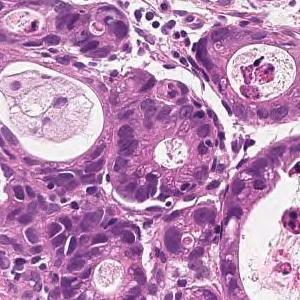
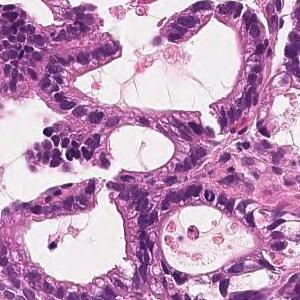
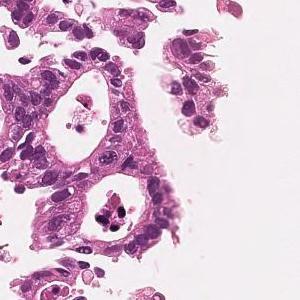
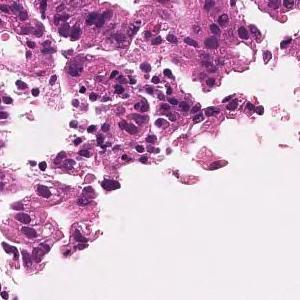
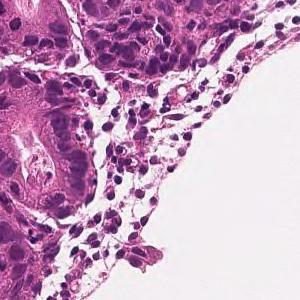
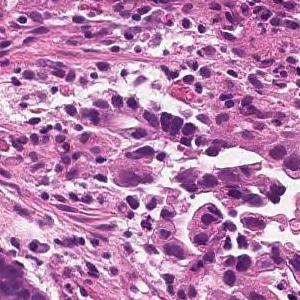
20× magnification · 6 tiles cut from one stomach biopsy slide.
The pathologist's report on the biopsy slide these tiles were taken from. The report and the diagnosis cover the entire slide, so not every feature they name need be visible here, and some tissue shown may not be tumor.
On the superficial epithelium, tumor tissue is found in which medium-sized irregular gland ducts fuse with each other and infiltrate. moderately differentiated tubular adenocarcinoma
